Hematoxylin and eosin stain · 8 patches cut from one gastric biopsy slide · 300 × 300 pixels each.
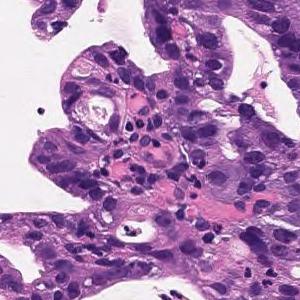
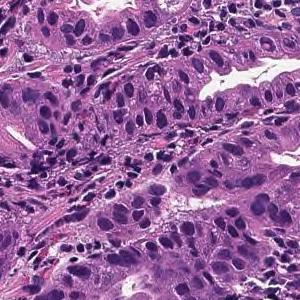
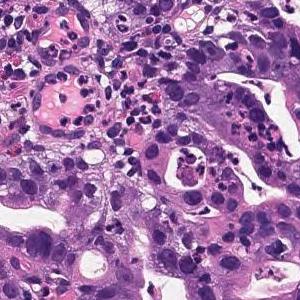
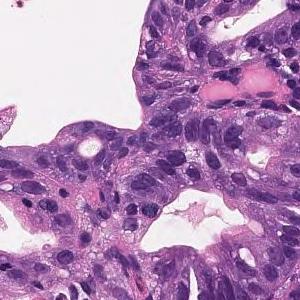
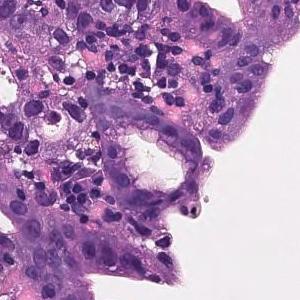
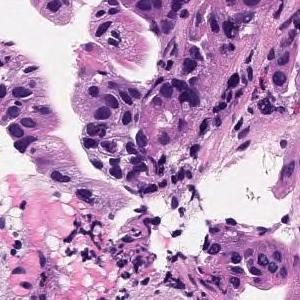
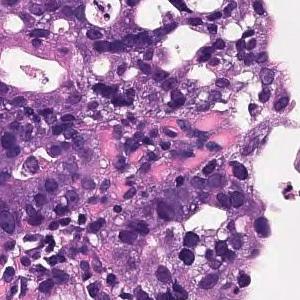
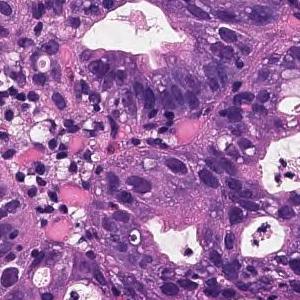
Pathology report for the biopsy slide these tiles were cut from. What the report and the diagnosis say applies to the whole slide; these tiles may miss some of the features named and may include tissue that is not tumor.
On the superficial epithelium, tumor tissue consisting of large, irregular glandular ducts partially fused and infiltrated is observed. Well to moderately differentiated tubular adenocarcinoma (well differentiated tubular adenocarcinoma, moderately differentiated tubular adenocarcinoma)
Subtype: Well to moderately differentiated tubular adenocarcinoma.
